8 patches cut from one gastric biopsy slide · 300 × 300 pixels each · H&E stain · scanned at ×20.
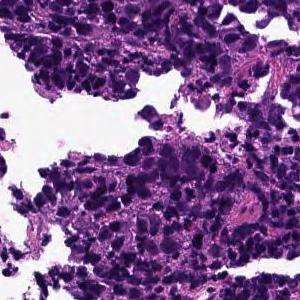
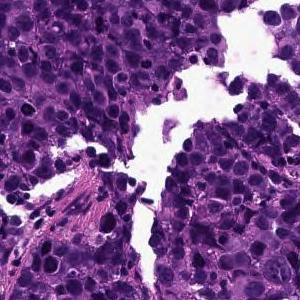
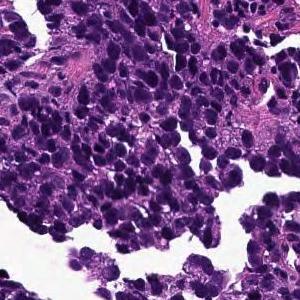
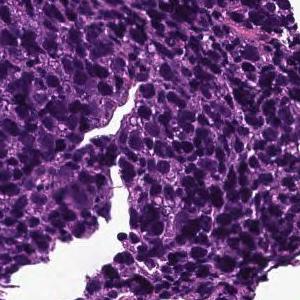
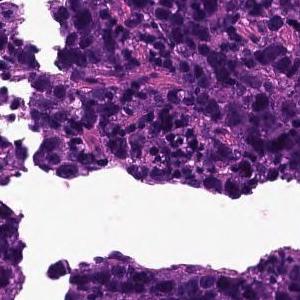
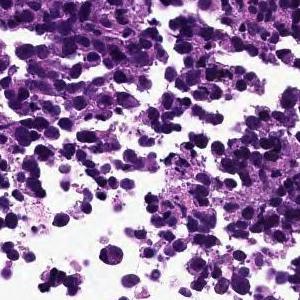
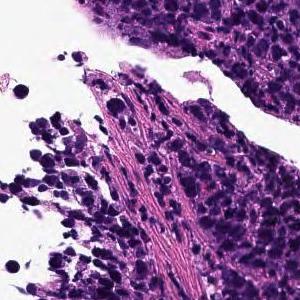
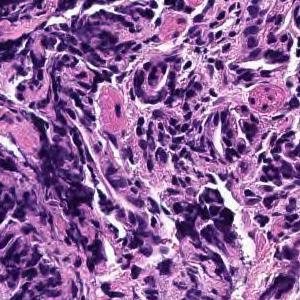
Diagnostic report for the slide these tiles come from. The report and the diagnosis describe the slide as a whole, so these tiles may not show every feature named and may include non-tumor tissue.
The superficial epithelium shows large alveolar or sheet-like forms, and some tumor tissue infiltrates with small irregular ducts. Poorly differentiated adenocarcinoma, solid-type
Classified as poorly differentiated adenocarcinoma, solid type, a category of the Japanese Classification of Gastric Carcinoma; in the WHO 2019 classification it is tubular adenocarcinoma, poorly differentiated.
